H&E · scanned at ×20 · 10 image tiles from a single gastric biopsy slide · 300 × 300 pixels each.
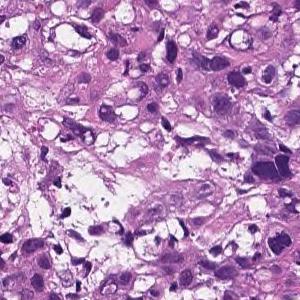
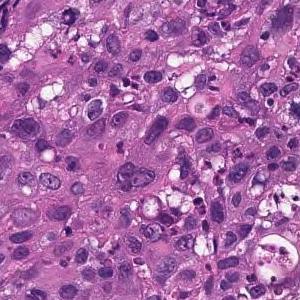
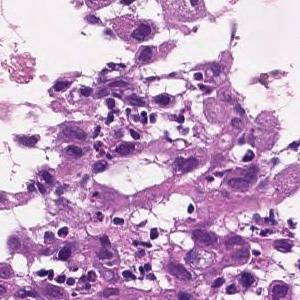
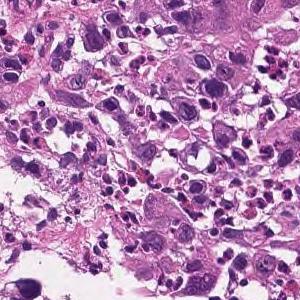
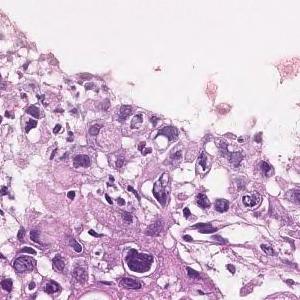
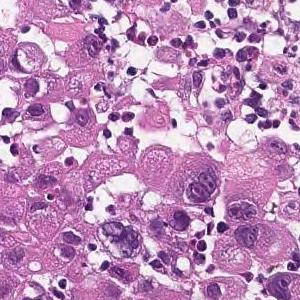
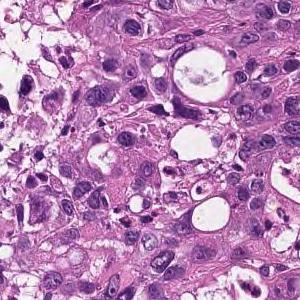
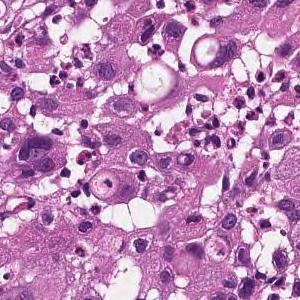
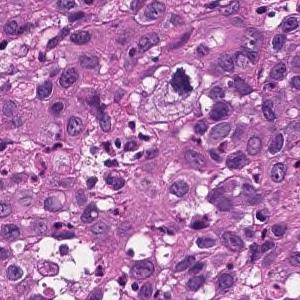
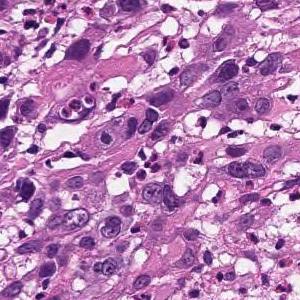
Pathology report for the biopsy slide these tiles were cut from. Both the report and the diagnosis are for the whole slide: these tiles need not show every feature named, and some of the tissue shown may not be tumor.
The superficial epithelium shows a large sheet-like shape, and some tumor tissue infiltrates with small irregular ducts. Poorly differentiated adenocarcinoma, solid-type
Tumor subtype: poorly differentiated adenocarcinoma, solid type. This name comes from the Japanese Classification of Gastric Carcinoma; the WHO 2019 classification calls it tubular adenocarcinoma, poorly differentiated.
